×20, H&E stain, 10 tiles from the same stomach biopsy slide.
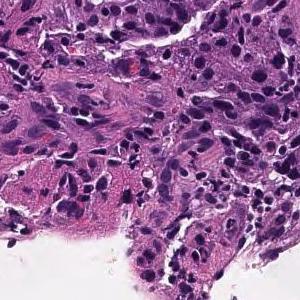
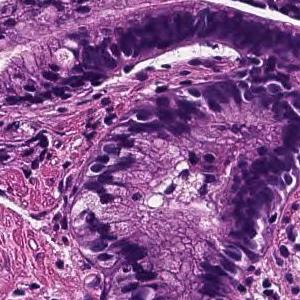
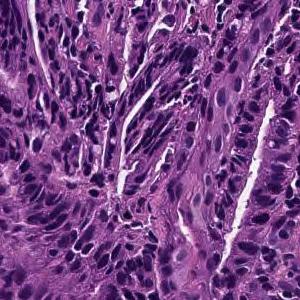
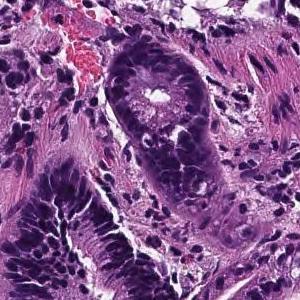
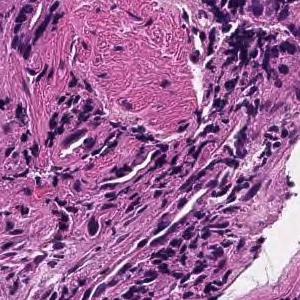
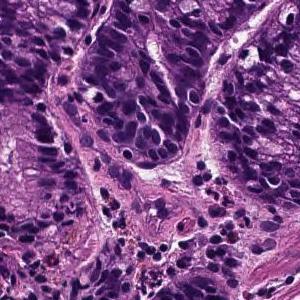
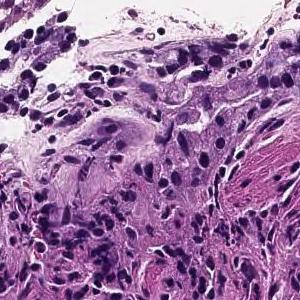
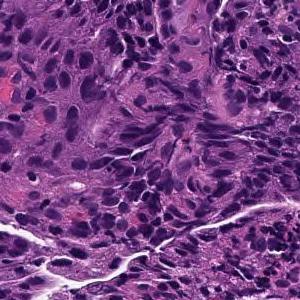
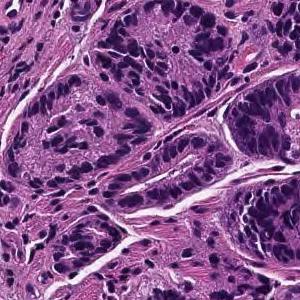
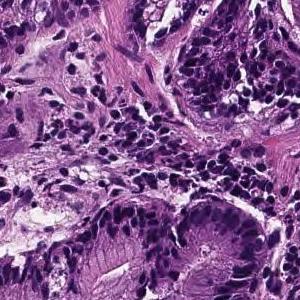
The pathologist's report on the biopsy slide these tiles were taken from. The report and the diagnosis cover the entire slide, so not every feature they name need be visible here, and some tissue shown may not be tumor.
From the superficial epithelium to the muscularis mucosae, tumor tissue consisting of medium-sized and irregular glandular ducts infiltrating is observed. Well differentiated tubular adenocarcinoma
